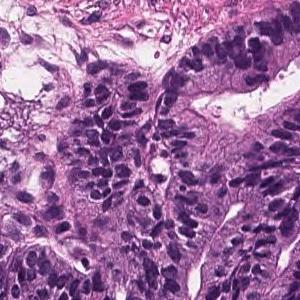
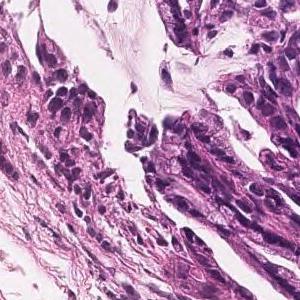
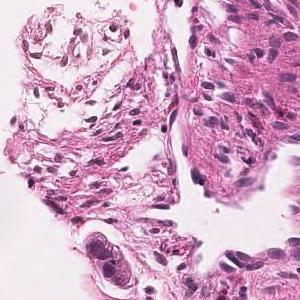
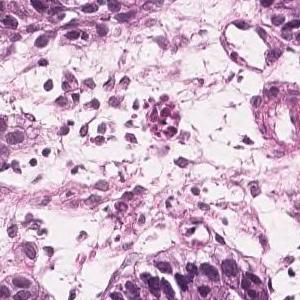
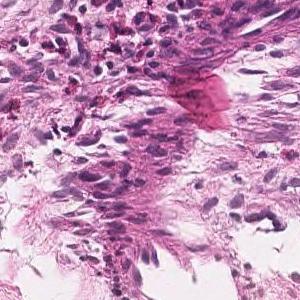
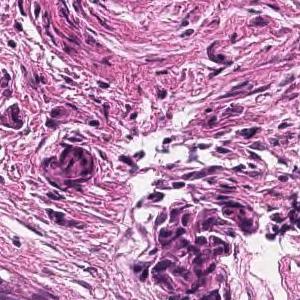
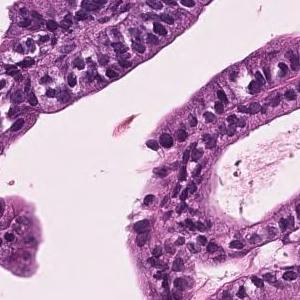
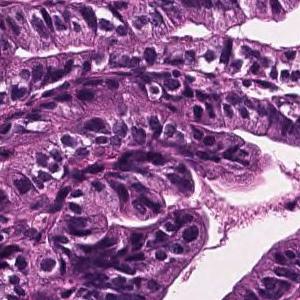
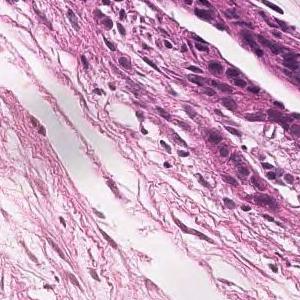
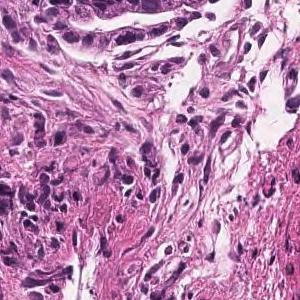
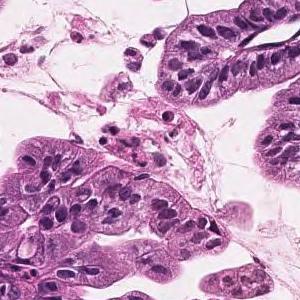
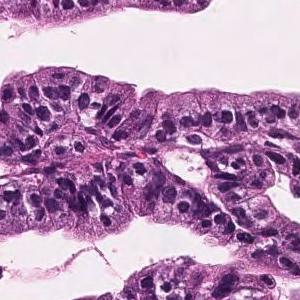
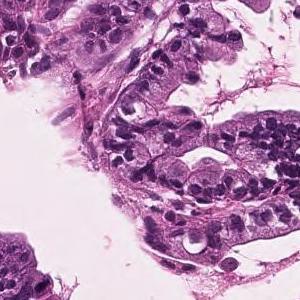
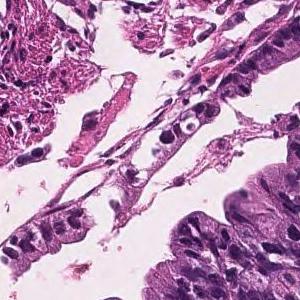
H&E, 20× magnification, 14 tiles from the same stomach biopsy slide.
The pathologist's report on the biopsy slide these tiles were taken from. What the report and the diagnosis say applies to the whole slide; these tiles may miss some of the features named and may include tissue that is not tumor.
Tumor cells are large, highly columnar, large club-shaped nuclei, and are associated with chromatin aggregation. Papillary adenocarcinoma.
